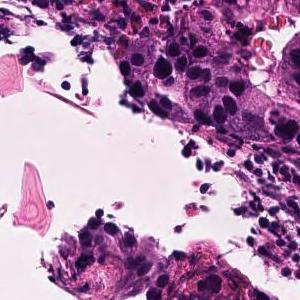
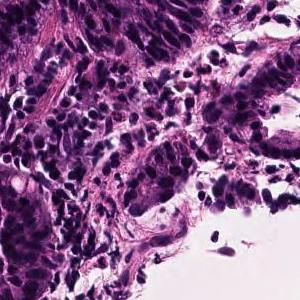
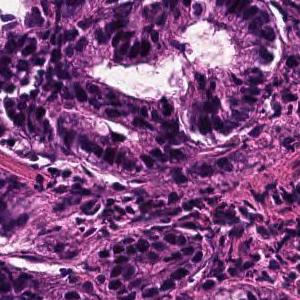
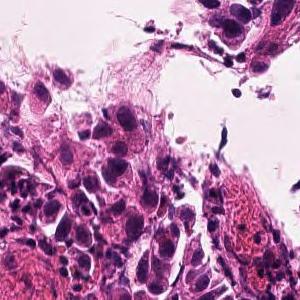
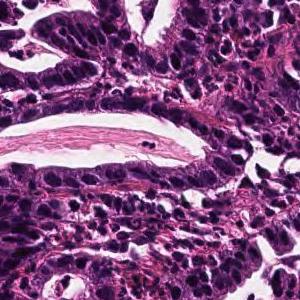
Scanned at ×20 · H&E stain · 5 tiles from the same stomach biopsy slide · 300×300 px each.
Pathology report for the slide these tiles were cut from. The report and the diagnosis cover the entire slide, so not every feature they name need be visible here, and some tissue shown may not be tumor.
Tumor tissue consisting of large papillary structures is found in the superficial epithelium. Papillary adenocarcinoma.
